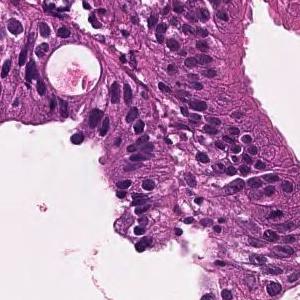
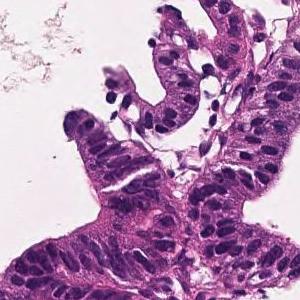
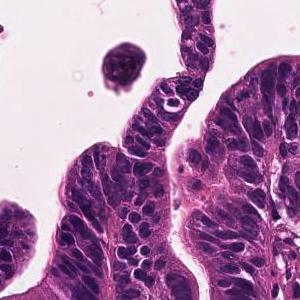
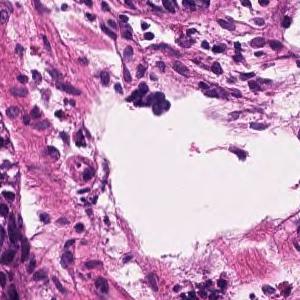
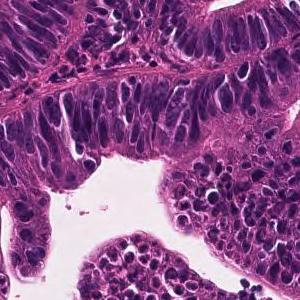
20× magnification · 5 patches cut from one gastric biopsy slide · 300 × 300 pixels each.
Pathology report for the slide these tiles were cut from. The report and the diagnosis describe the slide as a whole, so these tiles may not show every feature named and may include non-tumor tissue.
A large irregular tubular structure is exhibited in the epithelium, and tumor tissue that partially fuses and infiltrates and proliferates is observed. Large columnar tumor cells exhibit enlarged nucleus, hyperchromatism, and mitotic figures. Well differentiated tubular adenocarcinoma
